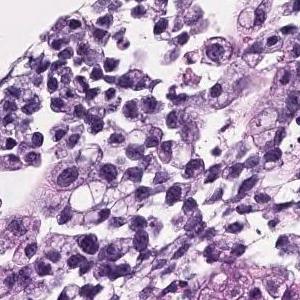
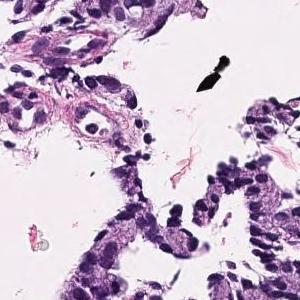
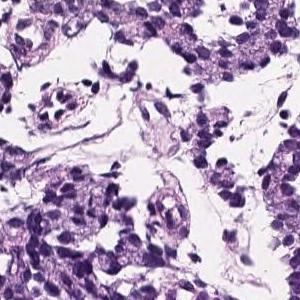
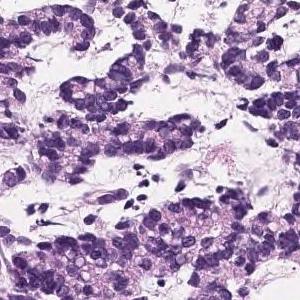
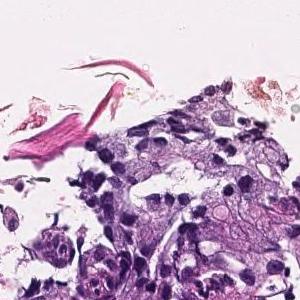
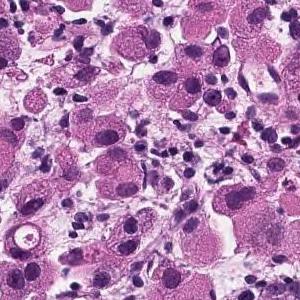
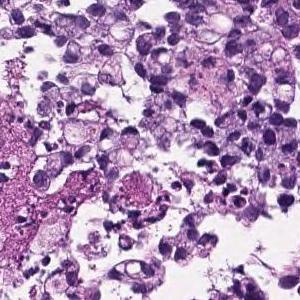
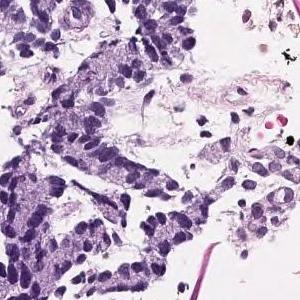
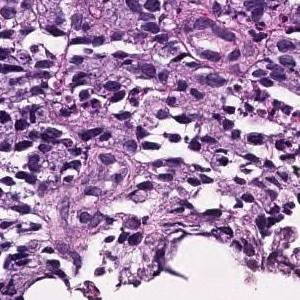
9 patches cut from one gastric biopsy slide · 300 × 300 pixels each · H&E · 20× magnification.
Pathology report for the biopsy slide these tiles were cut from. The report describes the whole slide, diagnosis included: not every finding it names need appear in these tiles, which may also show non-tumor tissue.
Tumor tissue infiltrated by irregular fusion of small cord-like structures is found in the superficial epithelium. Poorly differentiated adenocarcinoma, non-solid type
"Non-solid type" is a category of the Japanese Classification of Gastric Carcinoma.
